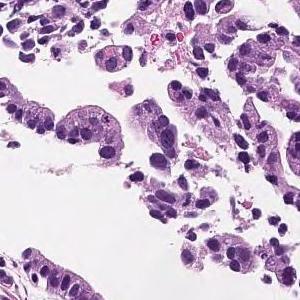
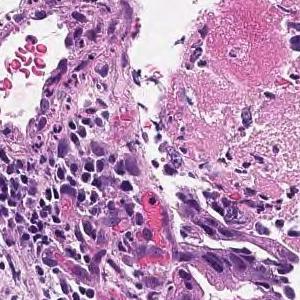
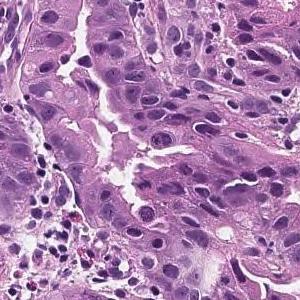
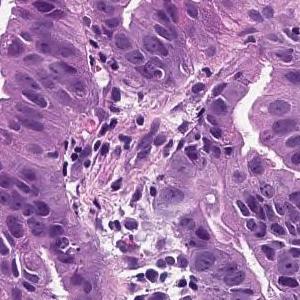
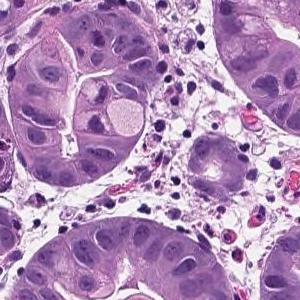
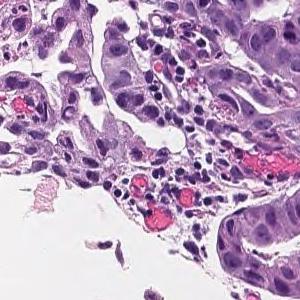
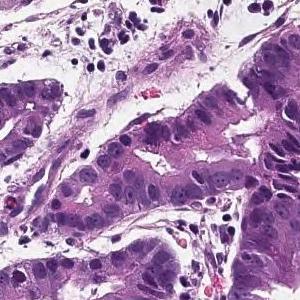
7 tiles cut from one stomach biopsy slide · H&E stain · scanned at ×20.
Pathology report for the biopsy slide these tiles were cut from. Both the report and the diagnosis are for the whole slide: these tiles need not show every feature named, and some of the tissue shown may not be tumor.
On the superficial epithelium, tumor tissue that infiltrates by forming medium-sized papillary or small irregular ducts is observed. Papillary adenocarcinoma
